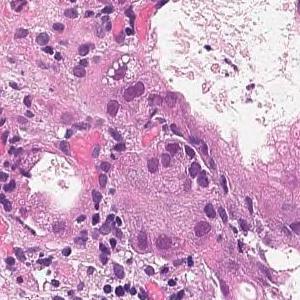
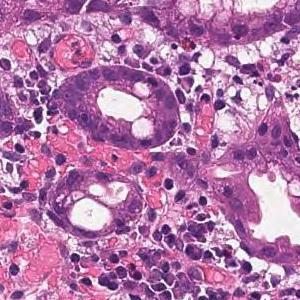
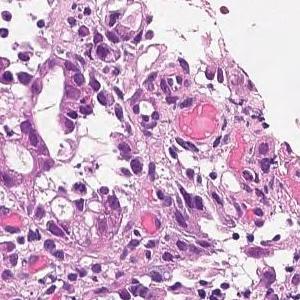
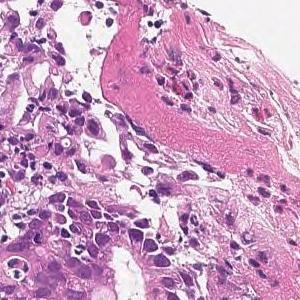
4 tiles from the same stomach biopsy slide · 300 × 300 pixels each · 20× magnification · hematoxylin and eosin stain.
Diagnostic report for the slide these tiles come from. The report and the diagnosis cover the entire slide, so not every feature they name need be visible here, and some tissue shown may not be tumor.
In the superficial epithelium, tumor tissue that invades by forming medium-sized to small, irregular ducts is observed. moderately differentiated tubular adenocarcinoma.
